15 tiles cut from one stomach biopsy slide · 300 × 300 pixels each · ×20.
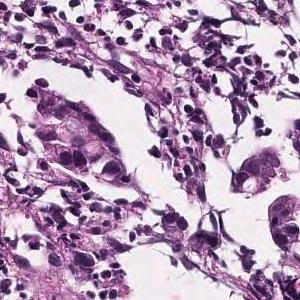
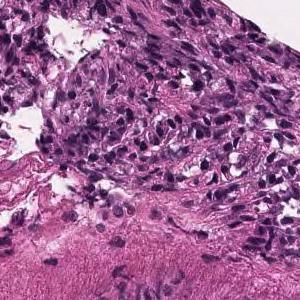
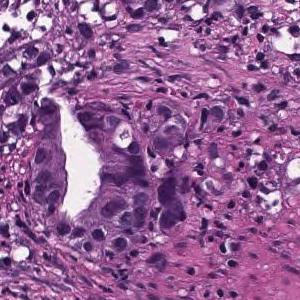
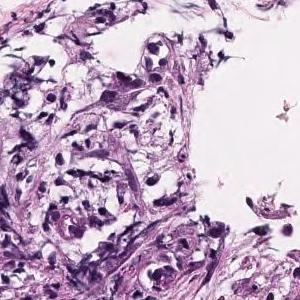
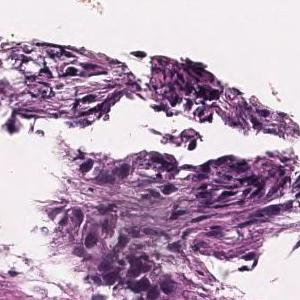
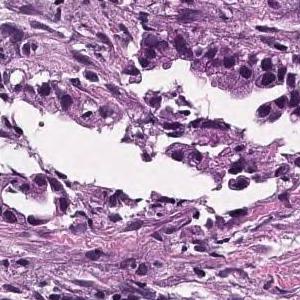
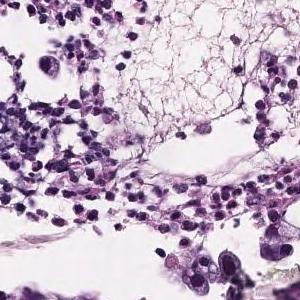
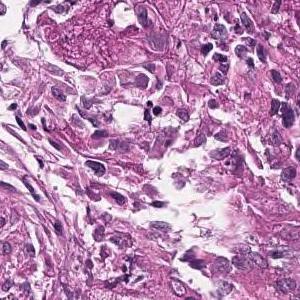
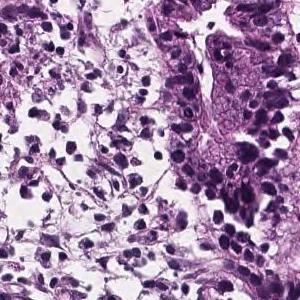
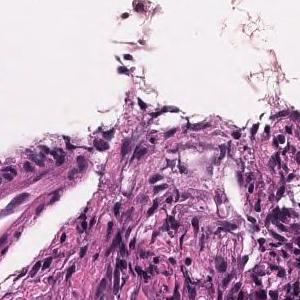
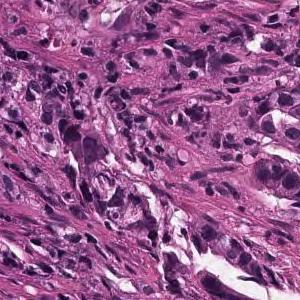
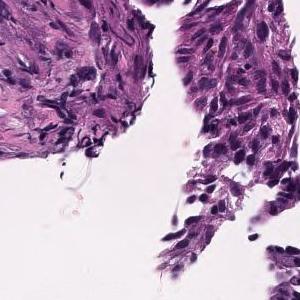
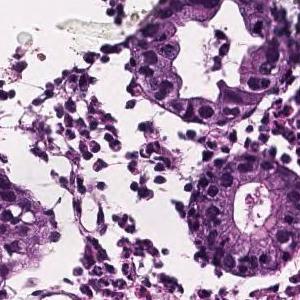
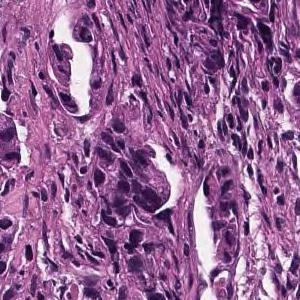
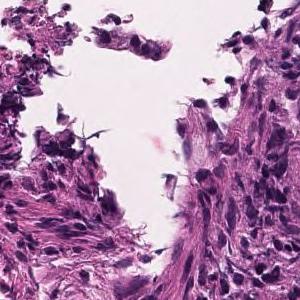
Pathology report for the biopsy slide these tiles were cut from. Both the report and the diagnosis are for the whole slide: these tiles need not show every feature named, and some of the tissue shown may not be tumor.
In the superficial epithelium, tumor tissue that invades by forming medium-sized to small, irregular ducts is observed. moderately differentiated tubular adenocarcinoma.
